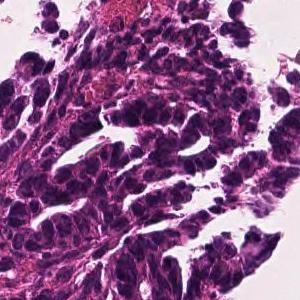
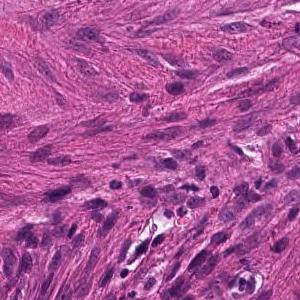
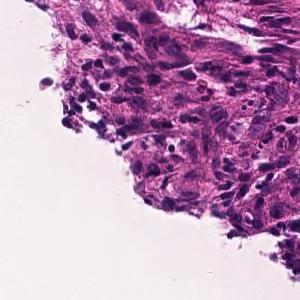
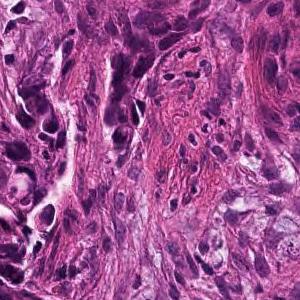
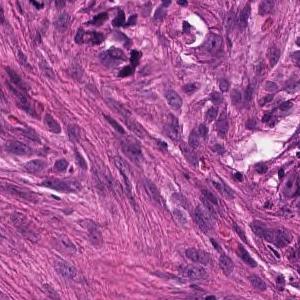
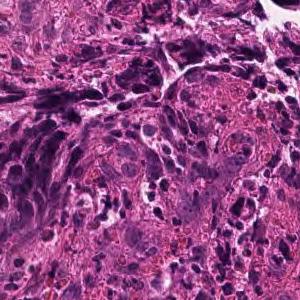
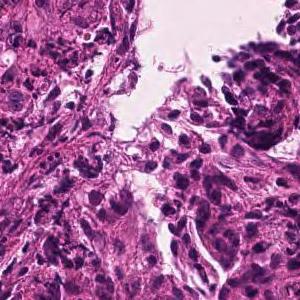
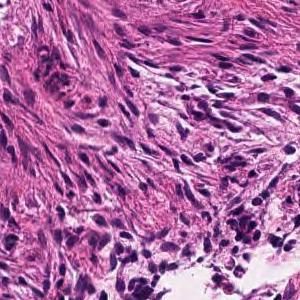
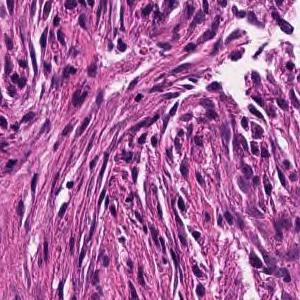
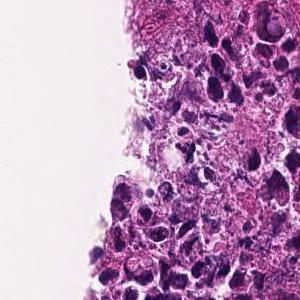
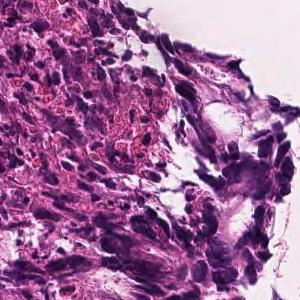
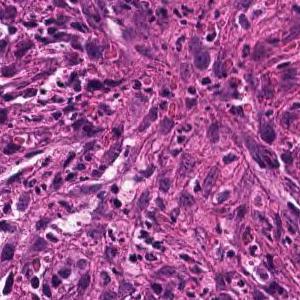
Hematoxylin and eosin stain, ×20, 12 tiles cut from one stomach biopsy slide.
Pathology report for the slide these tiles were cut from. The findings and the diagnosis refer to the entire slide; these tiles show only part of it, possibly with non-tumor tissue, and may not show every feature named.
In the superficial epithelium, tumor tissue that invades by forming medium-sized to small, irregular ducts is observed. moderately differentiated tubular adenocarcinoma.
